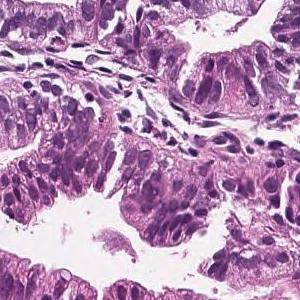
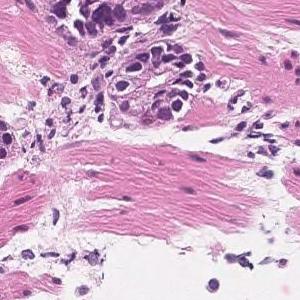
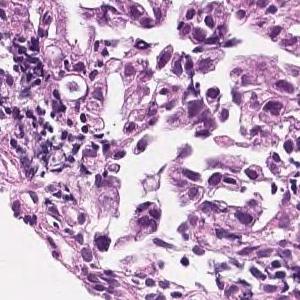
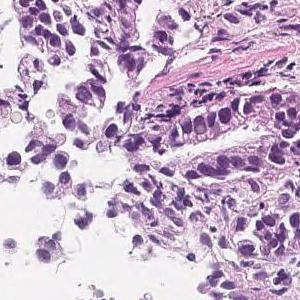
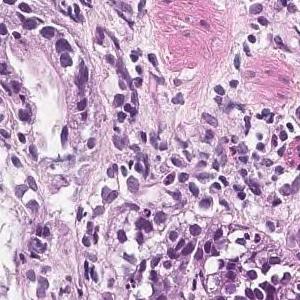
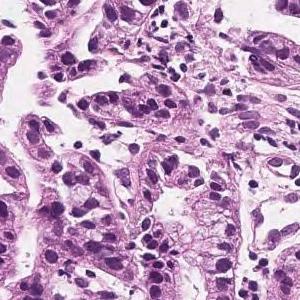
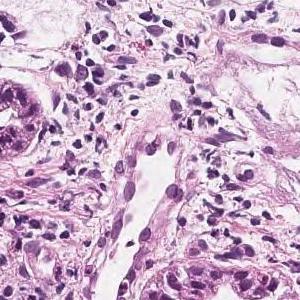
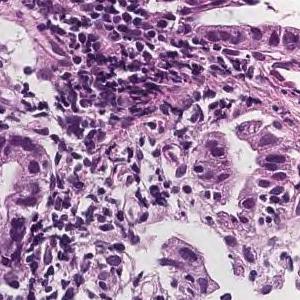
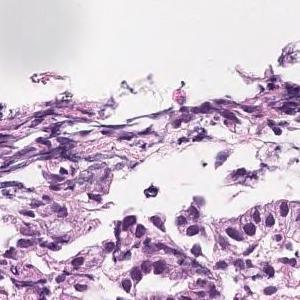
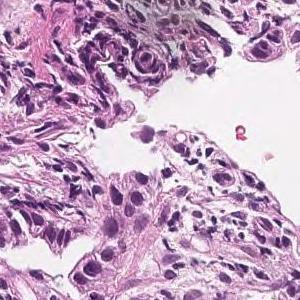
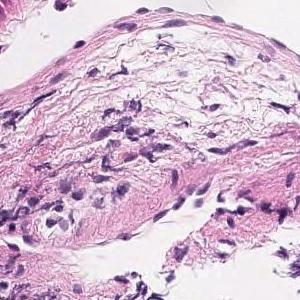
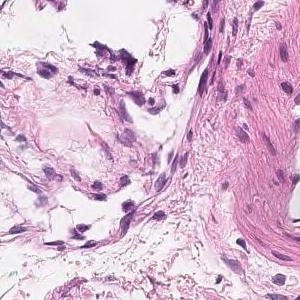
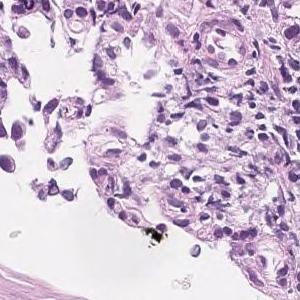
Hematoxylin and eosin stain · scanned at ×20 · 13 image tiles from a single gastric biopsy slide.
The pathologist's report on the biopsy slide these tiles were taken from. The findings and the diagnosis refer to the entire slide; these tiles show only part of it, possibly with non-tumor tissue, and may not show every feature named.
In the superficial epithelium, tumor tissue that invades by forming medium-sized to small, irregular ducts is observed. moderately differentiated tubular adenocarcinoma.
